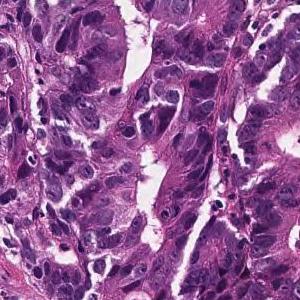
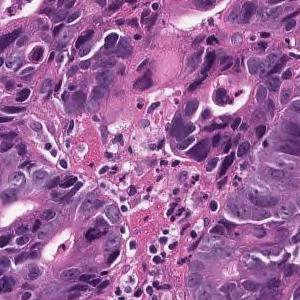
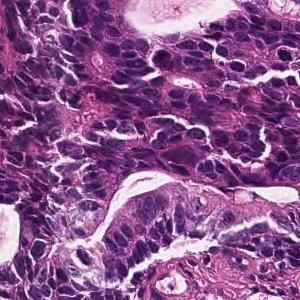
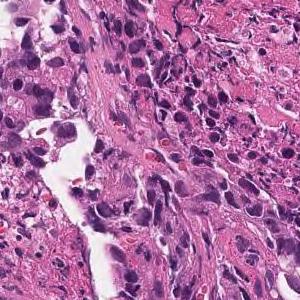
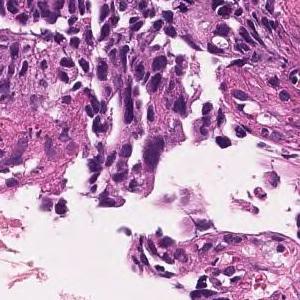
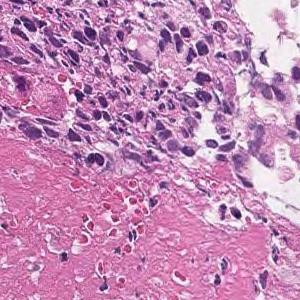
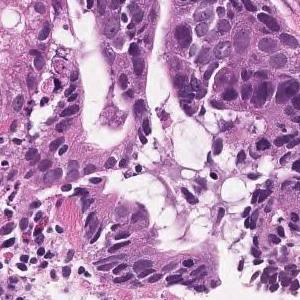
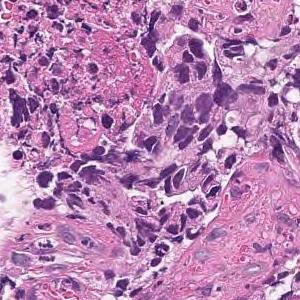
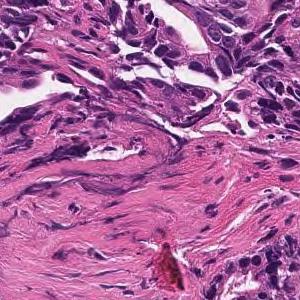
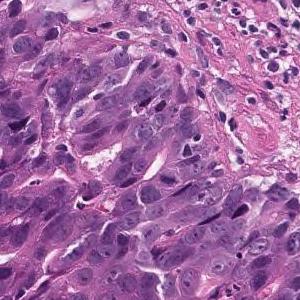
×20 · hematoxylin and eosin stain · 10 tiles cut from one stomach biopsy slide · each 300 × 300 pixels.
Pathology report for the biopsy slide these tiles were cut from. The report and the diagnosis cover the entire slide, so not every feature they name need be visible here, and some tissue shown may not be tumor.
In the superficial epithelium, tumor tissue that invades by forming medium-sized to small, irregular ducts is observed. moderately differentiated tubular adenocarcinoma.
